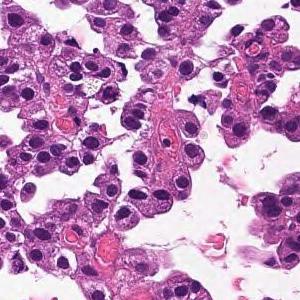
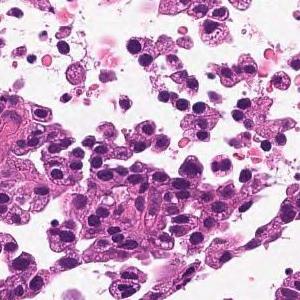
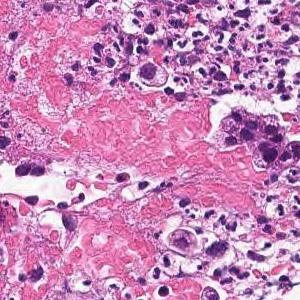
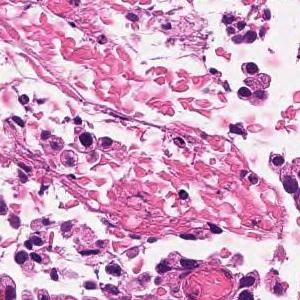
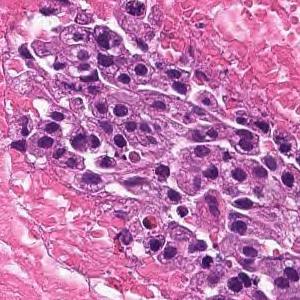
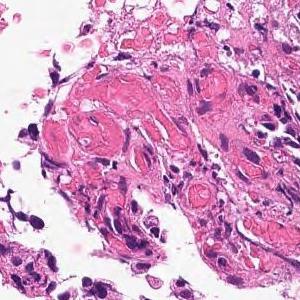
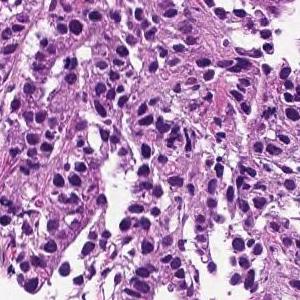
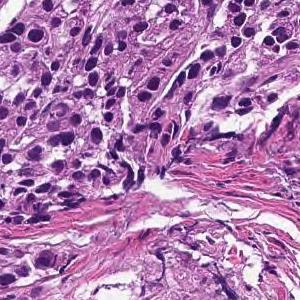
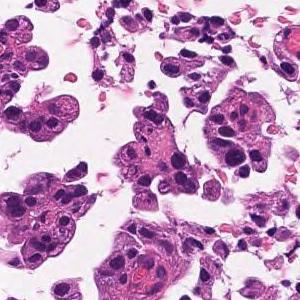
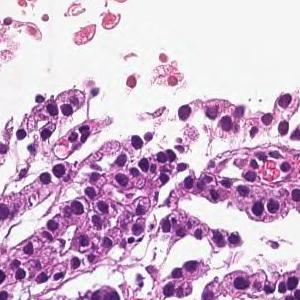
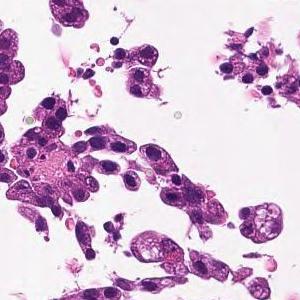
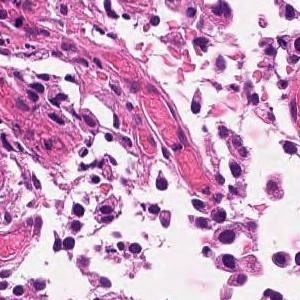
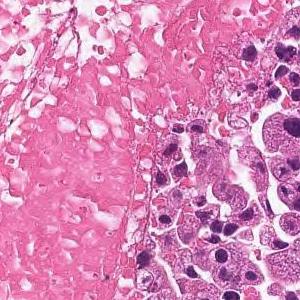
13 tiles cut from one stomach biopsy slide · each 300 × 300 pixels · H&E · 20× magnification.
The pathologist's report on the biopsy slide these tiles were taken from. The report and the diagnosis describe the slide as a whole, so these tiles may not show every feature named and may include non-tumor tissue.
In the superficial epithelium, tumor tissue that invades by forming medium-sized to small, irregular ducts is observed. moderately differentiated tubular adenocarcinoma.
